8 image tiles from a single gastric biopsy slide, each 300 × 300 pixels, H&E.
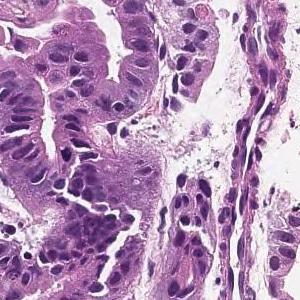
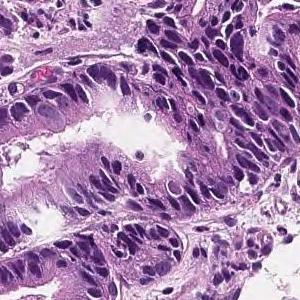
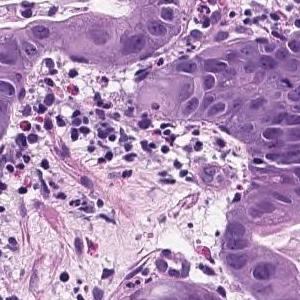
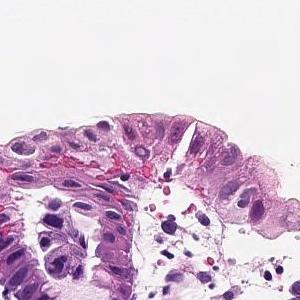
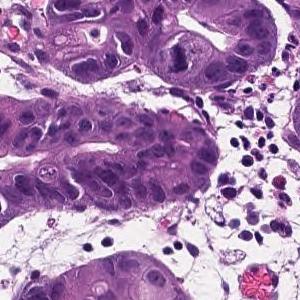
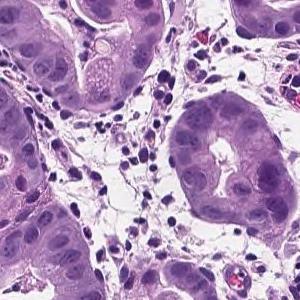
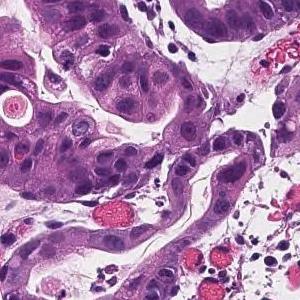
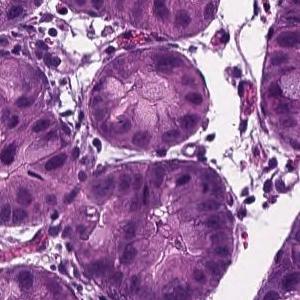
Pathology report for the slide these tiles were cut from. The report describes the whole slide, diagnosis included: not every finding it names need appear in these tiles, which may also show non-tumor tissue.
On the superficial epithelium, tumor tissue that infiltrates by forming medium-sized papillary or small irregular ducts is observed. Papillary adenocarcinoma
